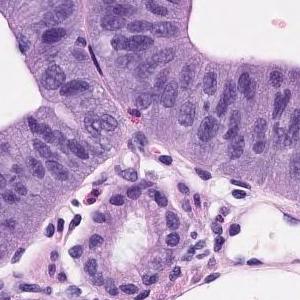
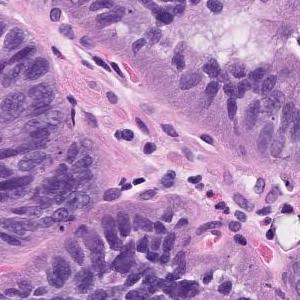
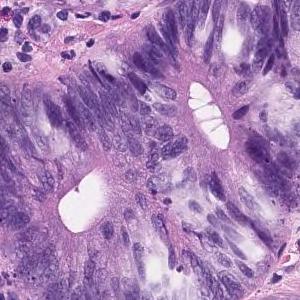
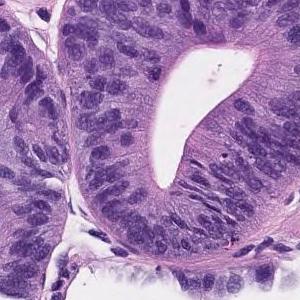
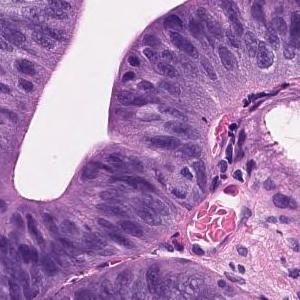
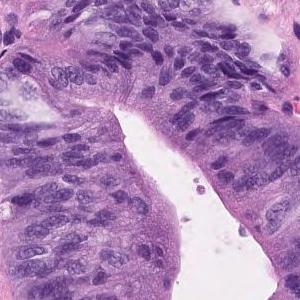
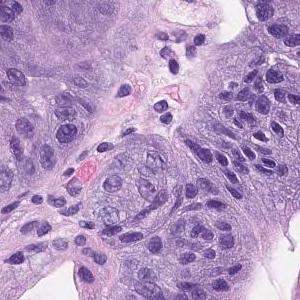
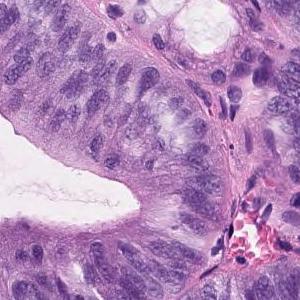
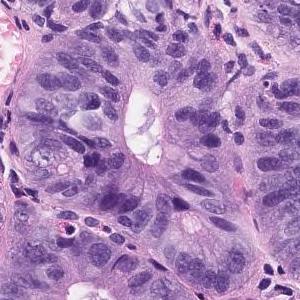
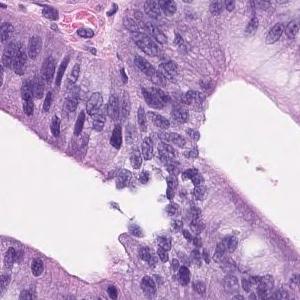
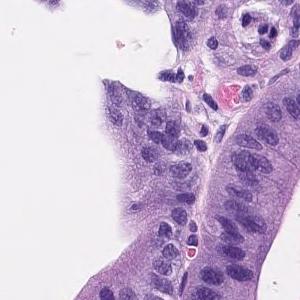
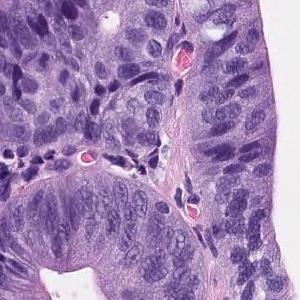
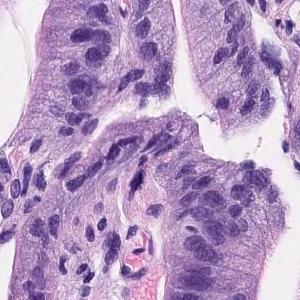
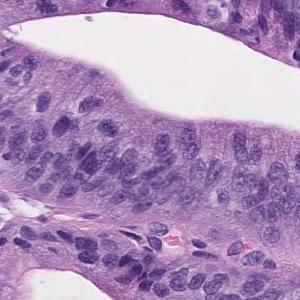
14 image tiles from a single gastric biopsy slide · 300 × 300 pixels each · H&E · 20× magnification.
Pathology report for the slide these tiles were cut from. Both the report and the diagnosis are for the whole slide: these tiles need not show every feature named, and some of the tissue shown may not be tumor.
On the superficial epithelium, tumor tissue consisting of images of atypical ducts of different sizes partially fused and densely proliferating is observed. Well differentiated tubular adenocarcinoma
